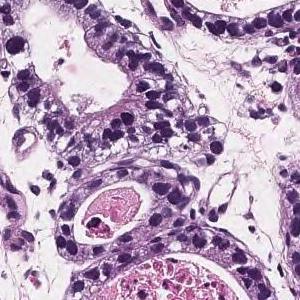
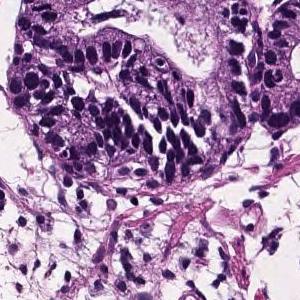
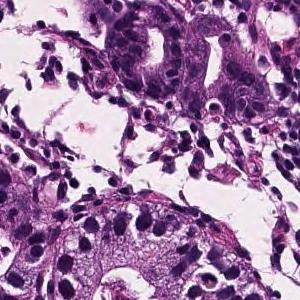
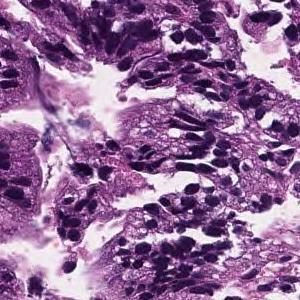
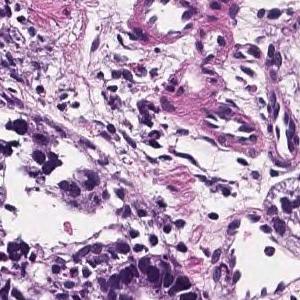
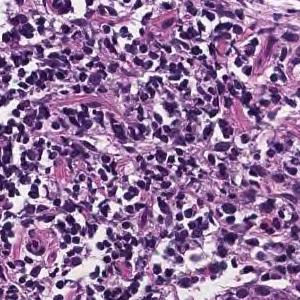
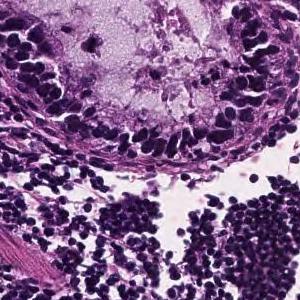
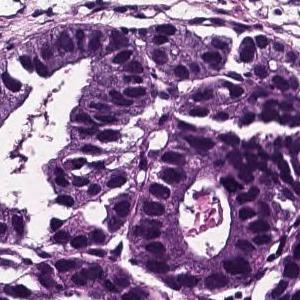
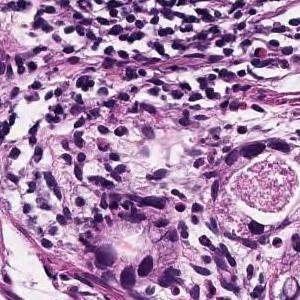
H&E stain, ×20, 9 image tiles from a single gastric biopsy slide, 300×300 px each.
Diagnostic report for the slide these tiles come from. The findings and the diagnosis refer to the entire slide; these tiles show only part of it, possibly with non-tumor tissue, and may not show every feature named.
In the superficial epithelium, tumor tissue that invades by forming medium-sized to small, irregular ducts is observed. Well differentiated tubular adenocarcinoma.
